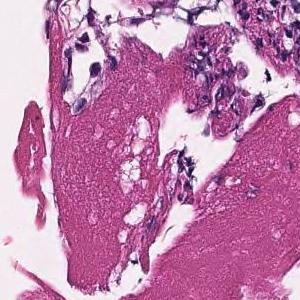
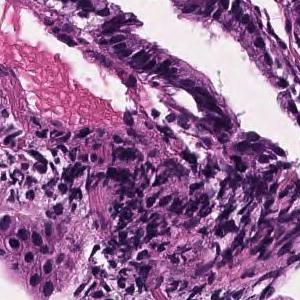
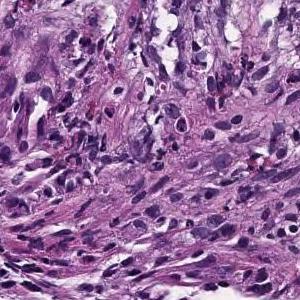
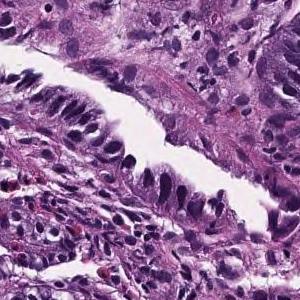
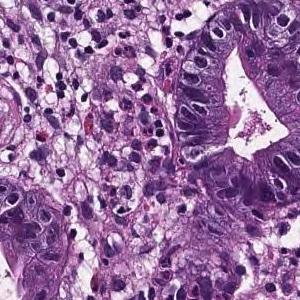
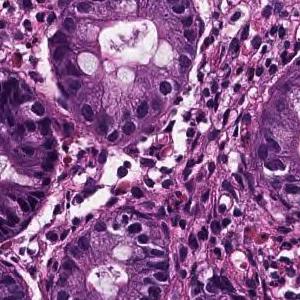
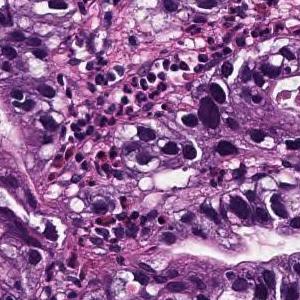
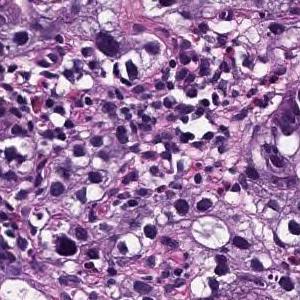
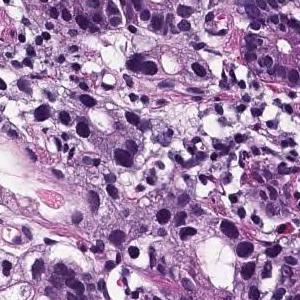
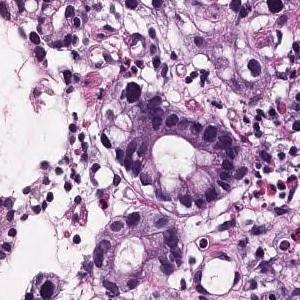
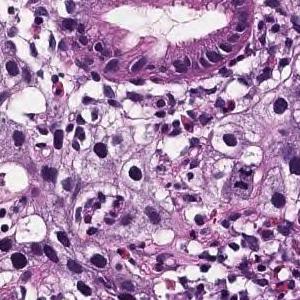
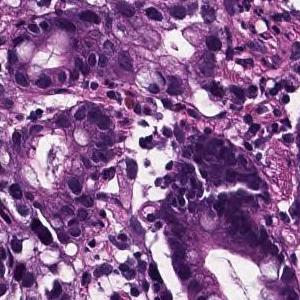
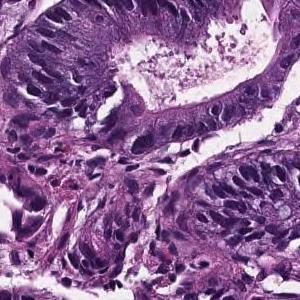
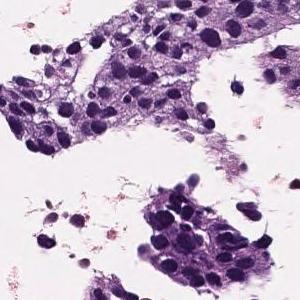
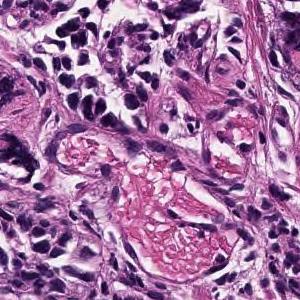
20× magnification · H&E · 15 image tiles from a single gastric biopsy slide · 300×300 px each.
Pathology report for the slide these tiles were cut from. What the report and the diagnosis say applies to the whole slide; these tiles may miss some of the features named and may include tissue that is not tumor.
In the superficial epithelium, medium to small irregular gland ducts are formed, and in some cases, the ducts are fused to show solid alveolar lesions and infiltrating tumor tissue is observed. Moderately to poorly differentiated adenocarcinoma
